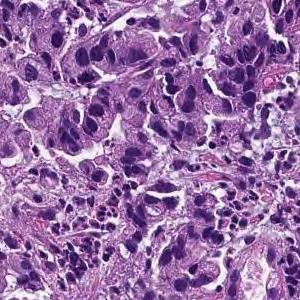
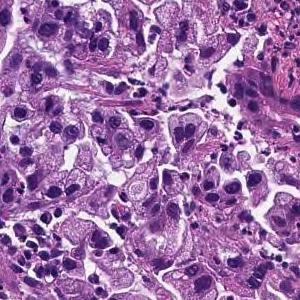
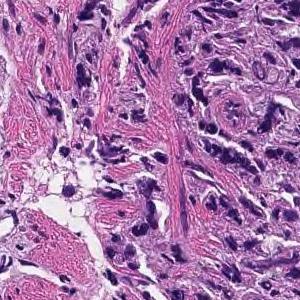
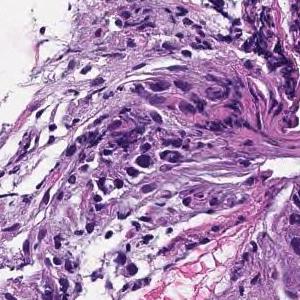
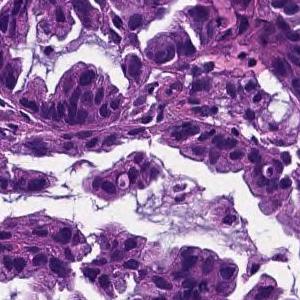
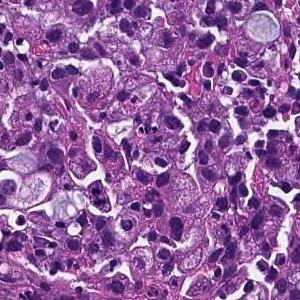
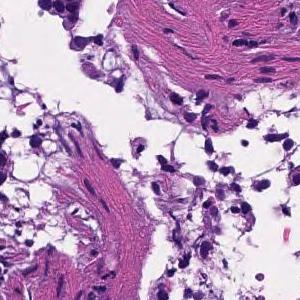
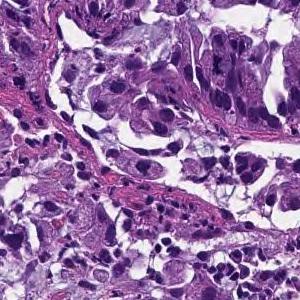
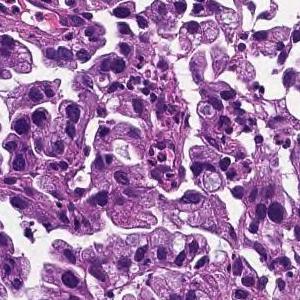
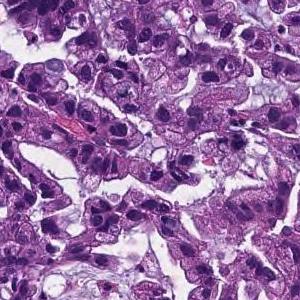
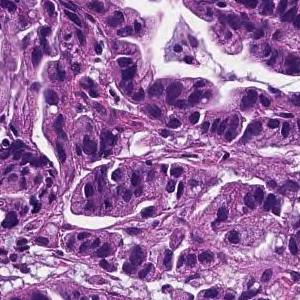
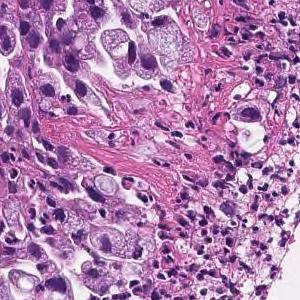
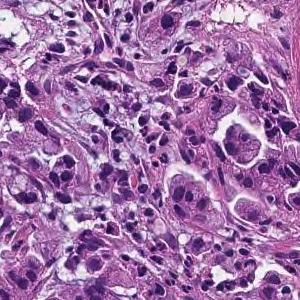
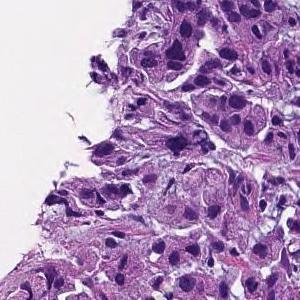
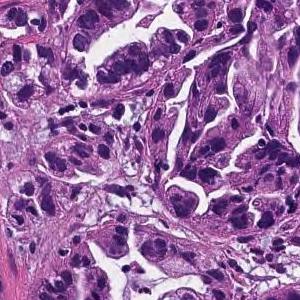
H&E · 15 tiles cut from one stomach biopsy slide · 300×300 px each.
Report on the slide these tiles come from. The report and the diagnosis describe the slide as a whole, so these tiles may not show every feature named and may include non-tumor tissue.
Tumor tissue consisting of medium-sized, cord-like or irregular glandular infiltration is observed in the superficial epithelium. Poorly differentiated adenocarcinoma, non-solid type or moderately differentiated tubular adenocarcinoma
Subtype: Moderately to poorly differentiated adenocarcinoma.
The non-solid type named here is a Japanese Classification of Gastric Carcinoma category.
